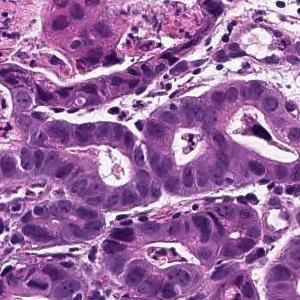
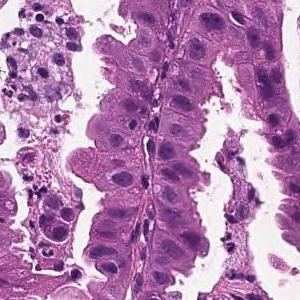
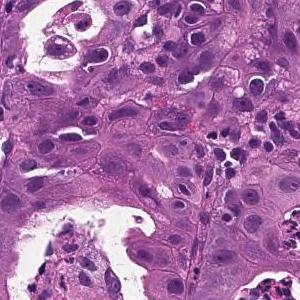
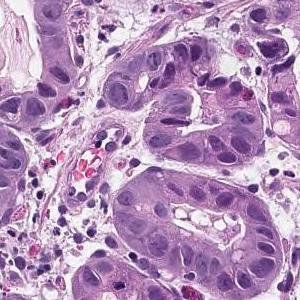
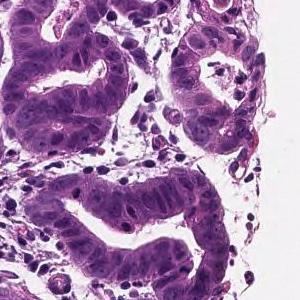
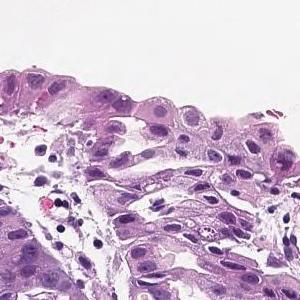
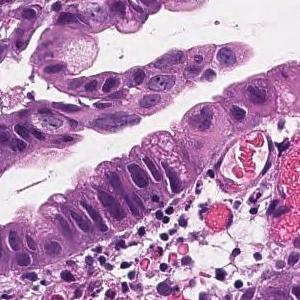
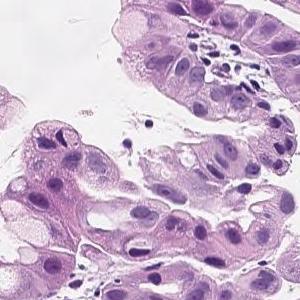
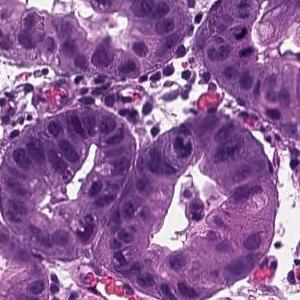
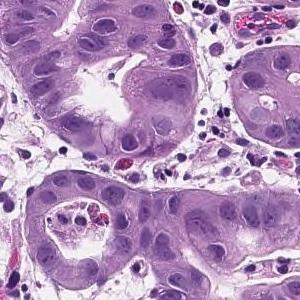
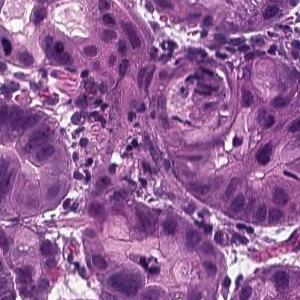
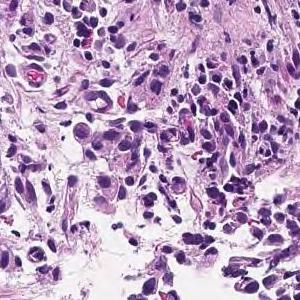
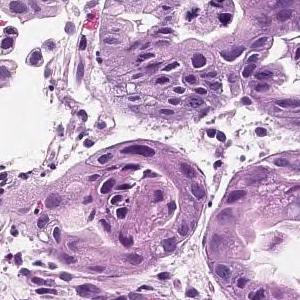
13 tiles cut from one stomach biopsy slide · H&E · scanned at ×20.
Report on the slide these tiles come from. The report and the diagnosis describe the slide as a whole, so these tiles may not show every feature named and may include non-tumor tissue.
On the superficial epithelium, tumor tissue that infiltrates by forming medium-sized papillary or small irregular ducts is observed. Papillary adenocarcinoma
